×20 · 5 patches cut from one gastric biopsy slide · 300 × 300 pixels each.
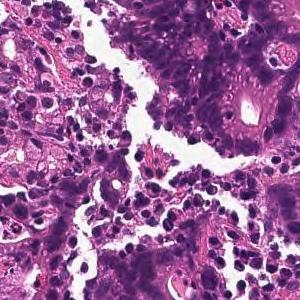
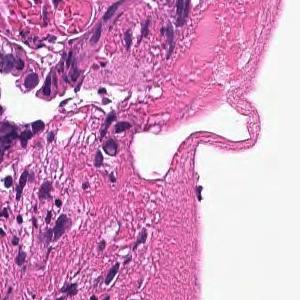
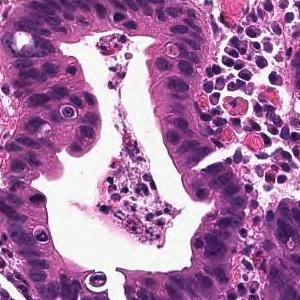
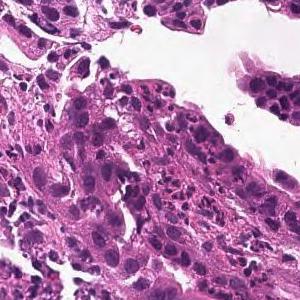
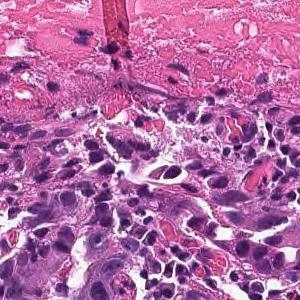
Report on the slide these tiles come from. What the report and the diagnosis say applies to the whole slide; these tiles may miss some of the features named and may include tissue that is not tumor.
On the superficial epithelium, tumor tissue consisting of large, irregular glandular ducts partially fused and infiltrated is observed. Well to moderately differentiated tubular adenocarcinoma (well differentiated tubular adenocarcinoma, moderately differentiated tubular adenocarcinoma)
Tumor subtype: well to moderately differentiated tubular adenocarcinoma.
